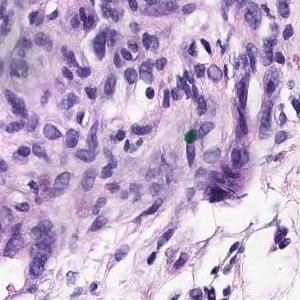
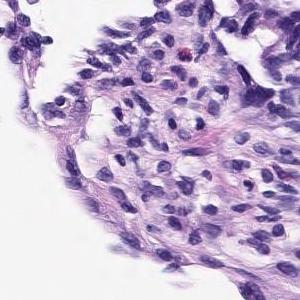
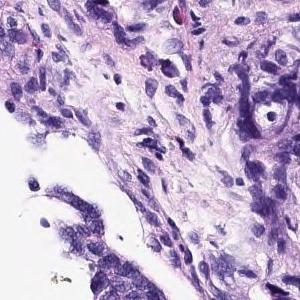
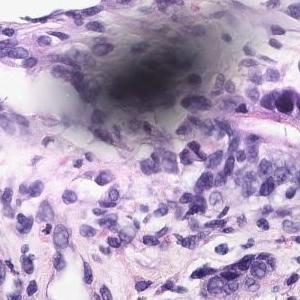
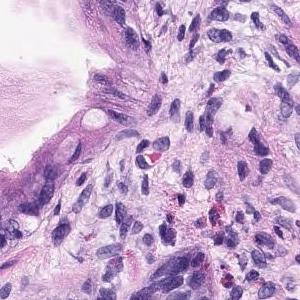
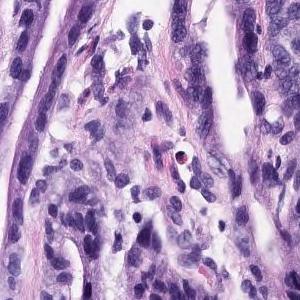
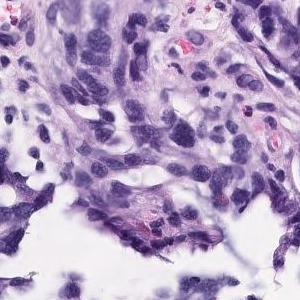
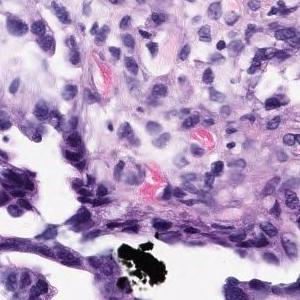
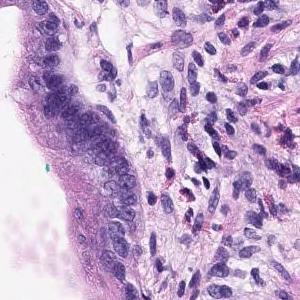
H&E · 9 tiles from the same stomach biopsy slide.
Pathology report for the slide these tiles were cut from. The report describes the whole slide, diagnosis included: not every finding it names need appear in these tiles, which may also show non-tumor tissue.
In the superficial epithelium, tumor tissue that invades by forming medium-sized to small, irregular ducts is observed. Moderately differentiated adenocarcinoma
Histologic type: Moderately differentiated tubular adenocarcinoma.
